20× magnification · H&E · 6 image tiles from a single gastric biopsy slide.
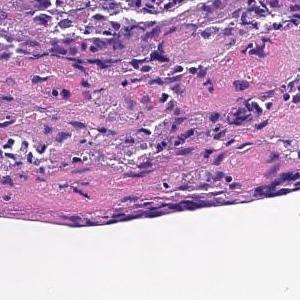
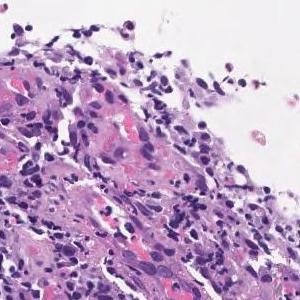
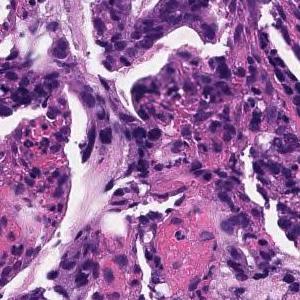
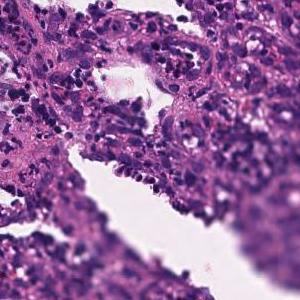
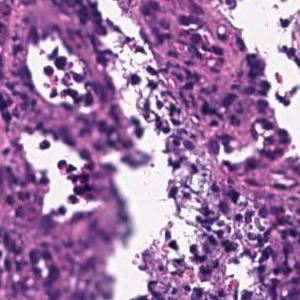
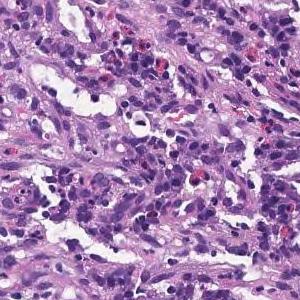
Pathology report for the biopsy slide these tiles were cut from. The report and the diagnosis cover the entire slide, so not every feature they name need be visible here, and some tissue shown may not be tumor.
On the superficial epithelium, tumor tissue consisting of large irregular glandular ducts partially fused and infiltrated is observed. Well to moderately differentiated tubular adenocarcinoma (well differentiated tubular adenocarcinoma, moderately differentiated tubular adenocarcinoma)
Tumor subtype: well to moderately differentiated tubular adenocarcinoma.
